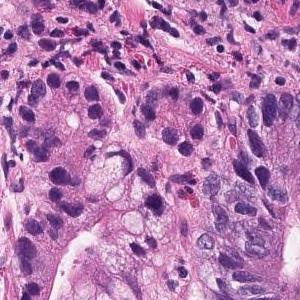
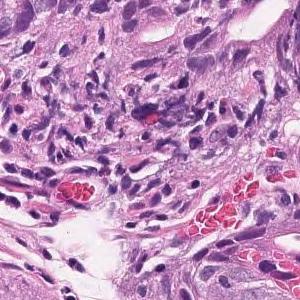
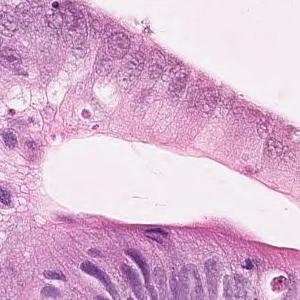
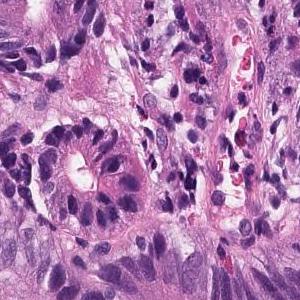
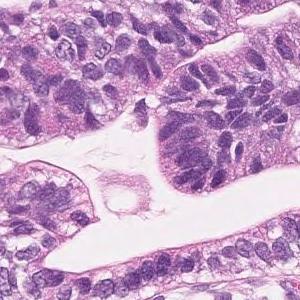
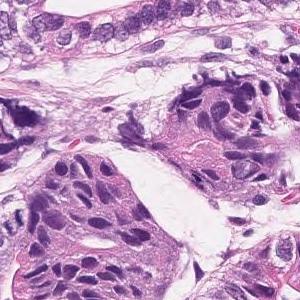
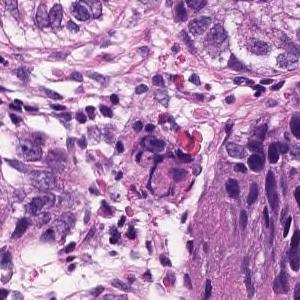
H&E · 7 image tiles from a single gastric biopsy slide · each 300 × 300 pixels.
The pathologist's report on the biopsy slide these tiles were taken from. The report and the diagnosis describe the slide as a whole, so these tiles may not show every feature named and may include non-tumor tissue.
Tumor cells are large, highly columnar, large club-shaped nuclei, and are associated with chromatin aggregation. Papillary adenocarcinoma.
